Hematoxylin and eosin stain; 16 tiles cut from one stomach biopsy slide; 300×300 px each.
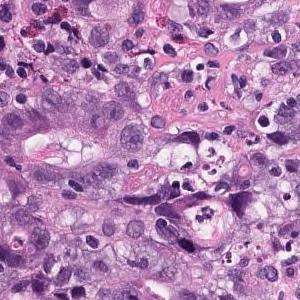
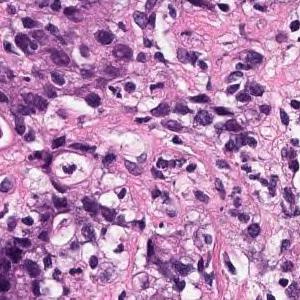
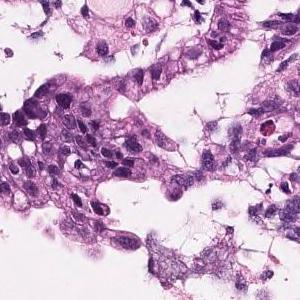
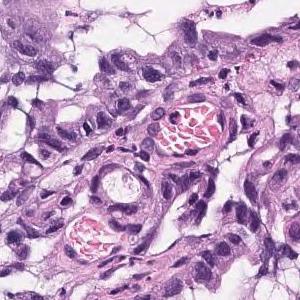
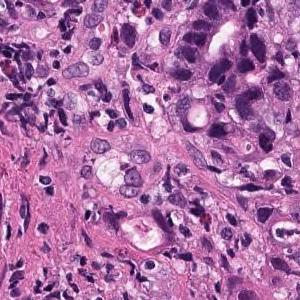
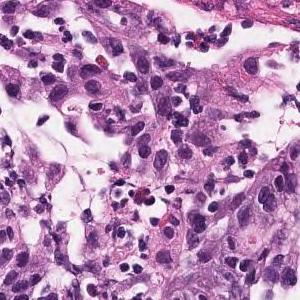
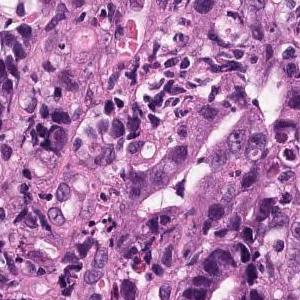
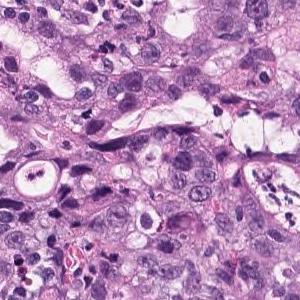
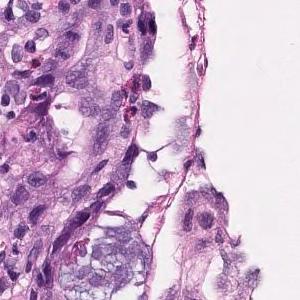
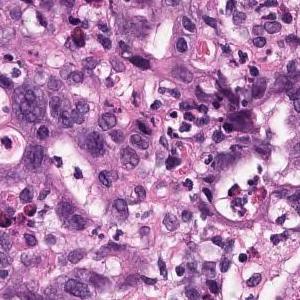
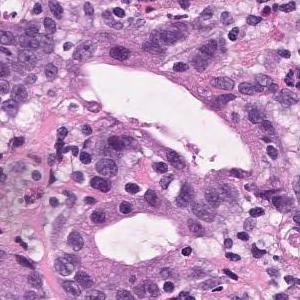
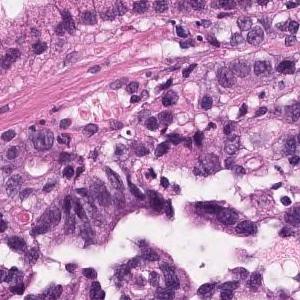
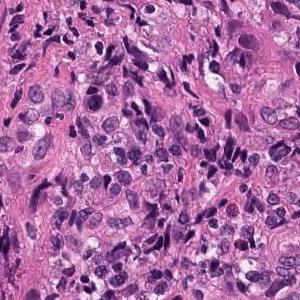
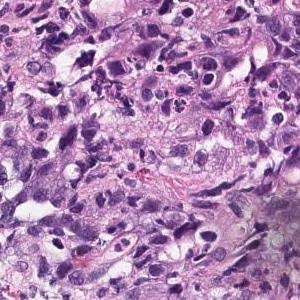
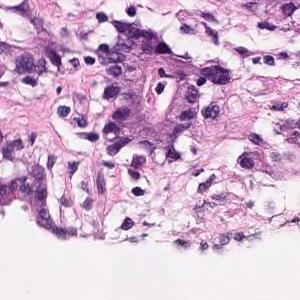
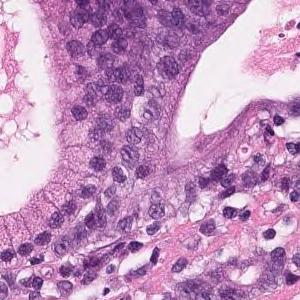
Diagnostic report for the slide these tiles come from. Both the report and the diagnosis are for the whole slide: these tiles need not show every feature named, and some of the tissue shown may not be tumor.
Atypical ducts proliferating with obscure duct construction and solid sequences is observed. Moderately to poorly differentiated adenocarcinoma.
